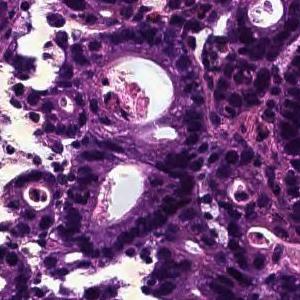
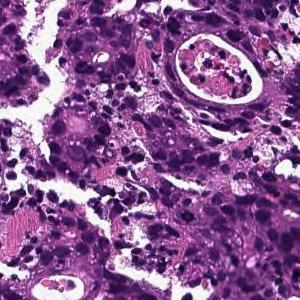
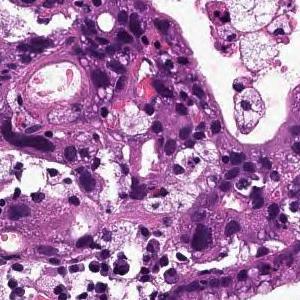
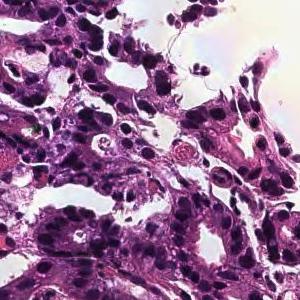
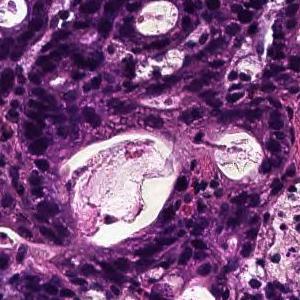
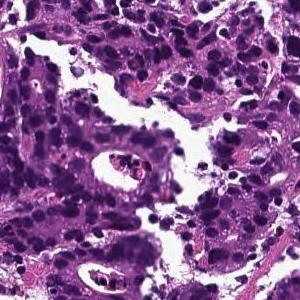
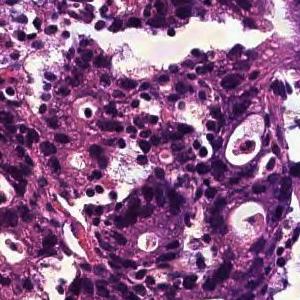
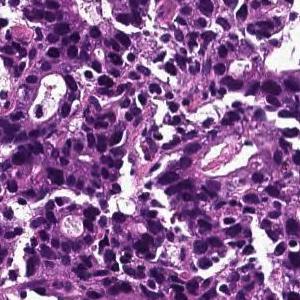
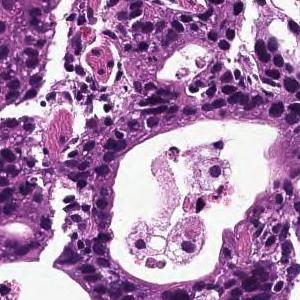
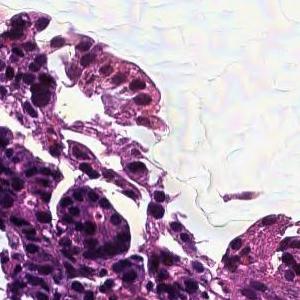
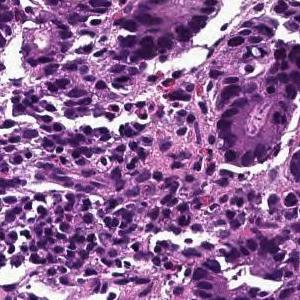
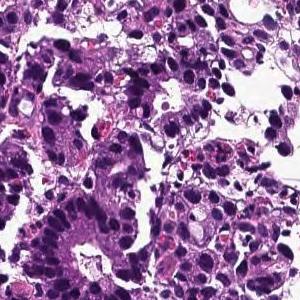
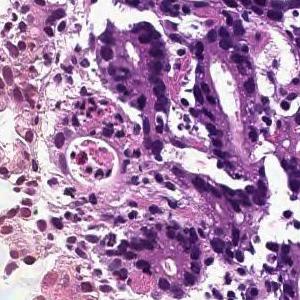
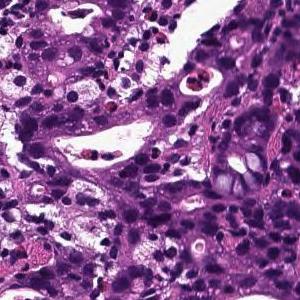
14 patches cut from one gastric biopsy slide; 300×300 px each.
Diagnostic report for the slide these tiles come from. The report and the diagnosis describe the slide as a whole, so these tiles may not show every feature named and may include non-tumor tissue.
In the superficial epithelium, tumor tissue that invades by forming medium-sized to small, irregular ducts is observed. moderately differentiated tubular adenocarcinoma.
